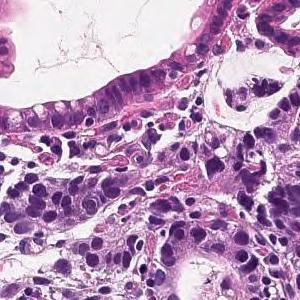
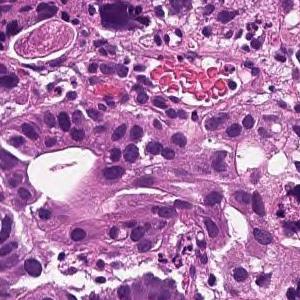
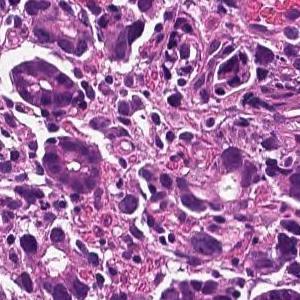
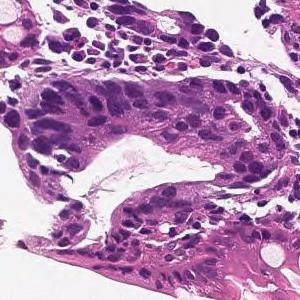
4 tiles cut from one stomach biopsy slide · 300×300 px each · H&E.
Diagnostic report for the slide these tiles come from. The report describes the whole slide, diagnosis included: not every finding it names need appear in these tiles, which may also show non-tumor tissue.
On the superficial epithelium, tumor tissue is found in which medium-sized irregular gland ducts fuse with each other and infiltrate. moderately differentiated tubular adenocarcinoma
